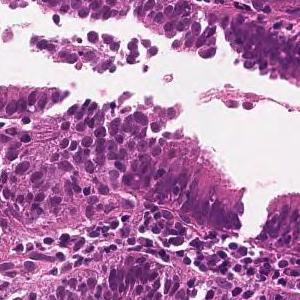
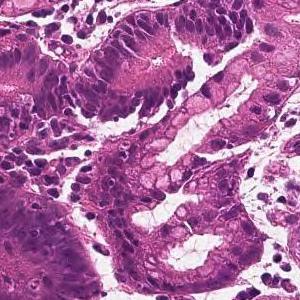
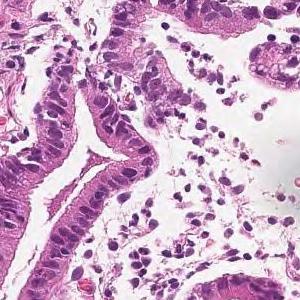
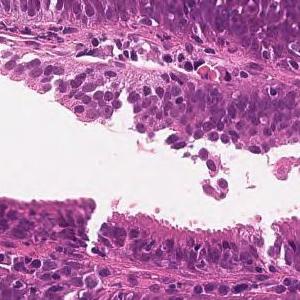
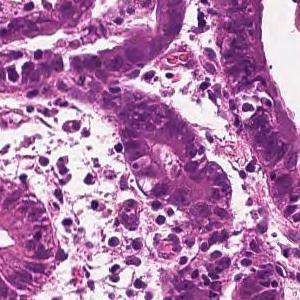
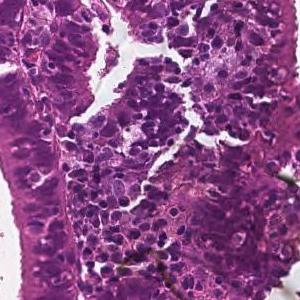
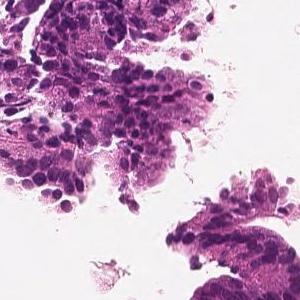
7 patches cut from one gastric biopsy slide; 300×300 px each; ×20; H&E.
Diagnostic report for the slide these tiles come from. Both the report and the diagnosis are for the whole slide: these tiles need not show every feature named, and some of the tissue shown may not be tumor.
On the superficial epithelium, tumor tissue is found in which medium-sized irregular gland ducts fuse with each other and infiltrate. moderately differentiated tubular adenocarcinoma
